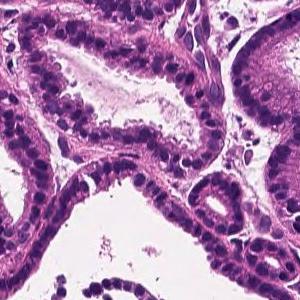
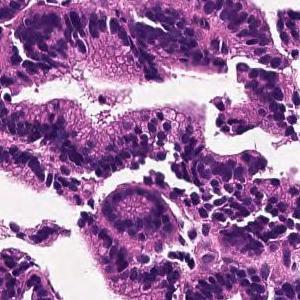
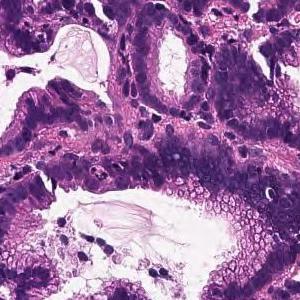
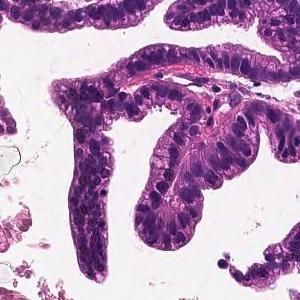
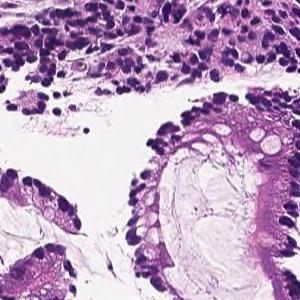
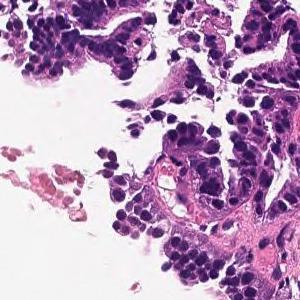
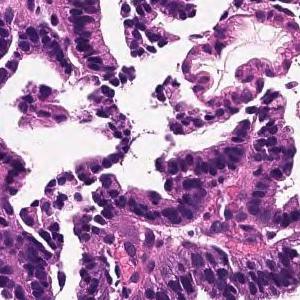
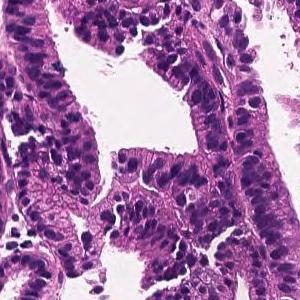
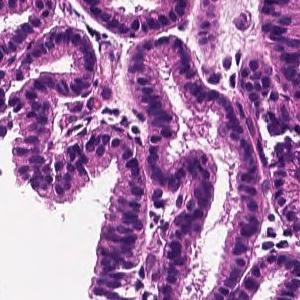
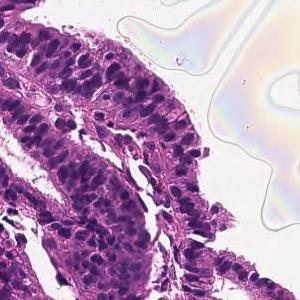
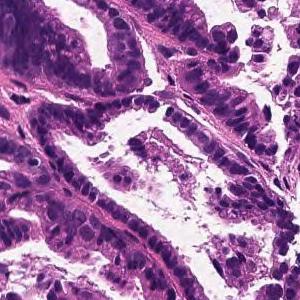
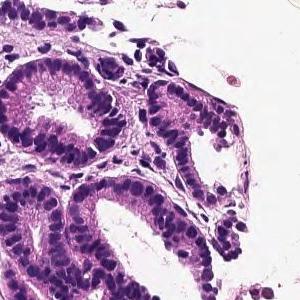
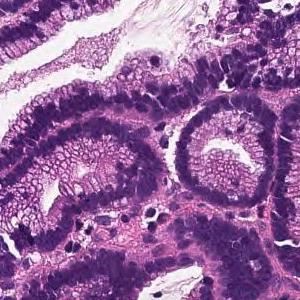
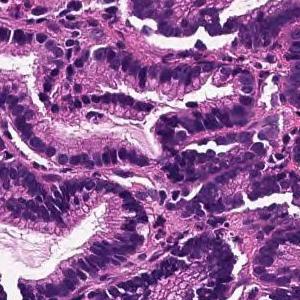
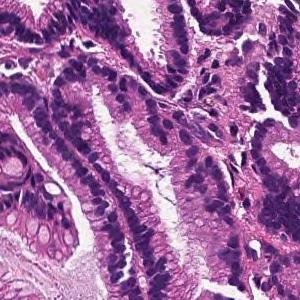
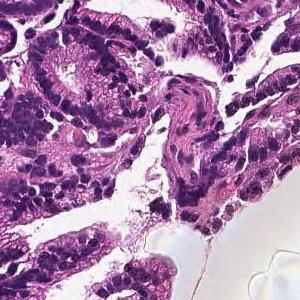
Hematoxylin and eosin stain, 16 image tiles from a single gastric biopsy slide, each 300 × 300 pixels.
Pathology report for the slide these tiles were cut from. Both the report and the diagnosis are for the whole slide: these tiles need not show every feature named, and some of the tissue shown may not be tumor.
On the superficial epithelium, tumor tissue consisting of large irregular glandular ducts partially fused and infiltrated is observed. Well to moderately differentiated tubular adenocarcinoma (well differentiated tubular adenocarcinoma, moderately differentiated tubular adenocarcinoma)
Histologic type: Well to moderately differentiated tubular adenocarcinoma.
